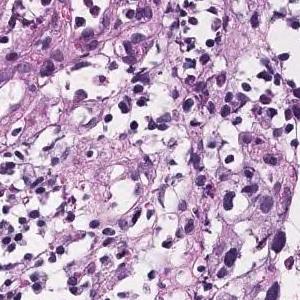
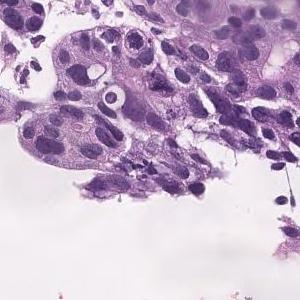
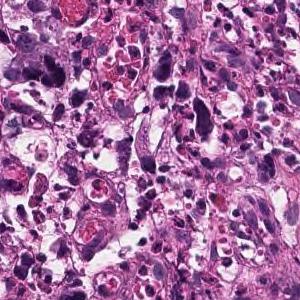
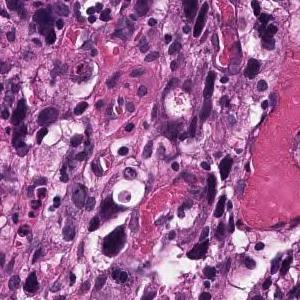
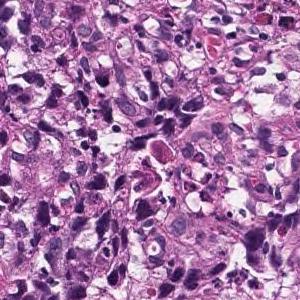
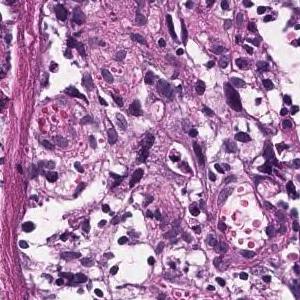
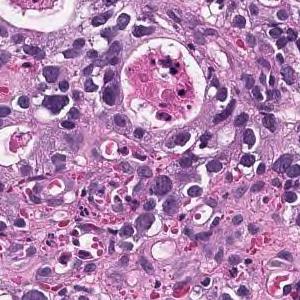
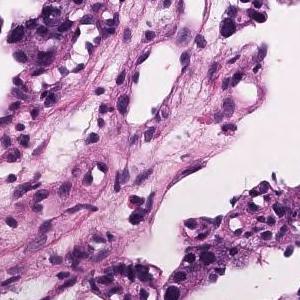
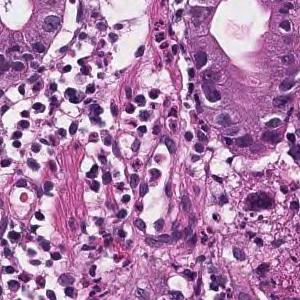
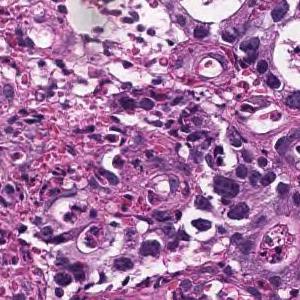
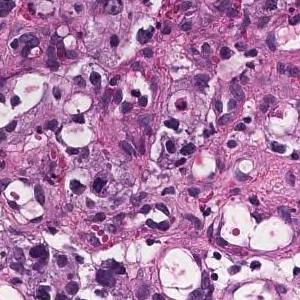
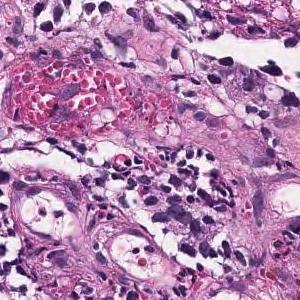
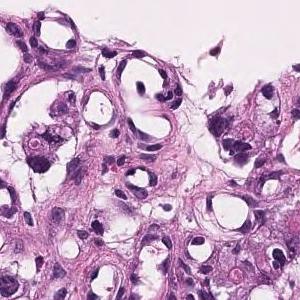
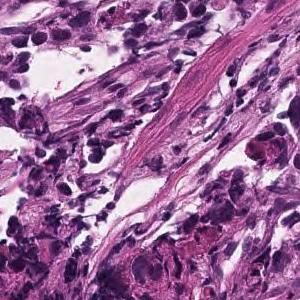
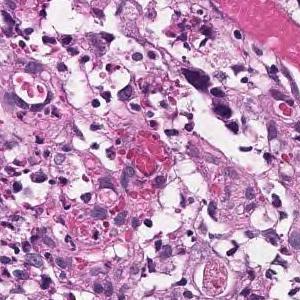
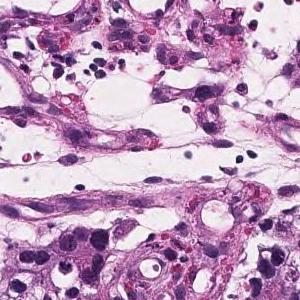
Scanned at ×20; 16 tiles from the same stomach biopsy slide; 300×300 px each.
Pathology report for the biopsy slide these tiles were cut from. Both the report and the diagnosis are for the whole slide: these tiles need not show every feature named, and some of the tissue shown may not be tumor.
Tumor tissue consisting of medium-sized, cord-like or irregular glandular infiltration is observed in the superficial epithelium. Poorly differentiated adenocarcinoma, non-solid type or moderately differentiated tubular adenocarcinoma
The term "non-solid type" comes from the Japanese Classification of Gastric Carcinoma.
